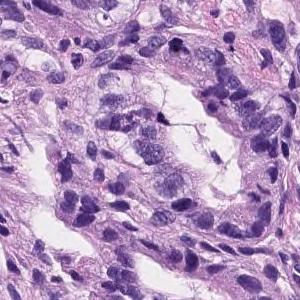
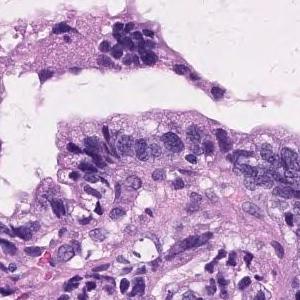
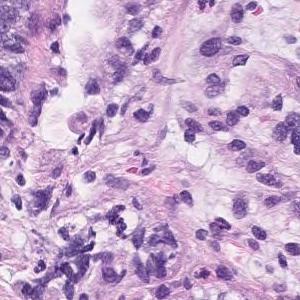
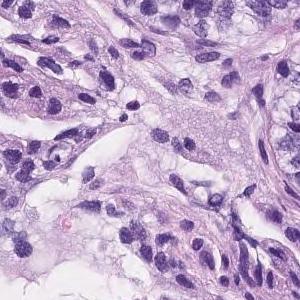
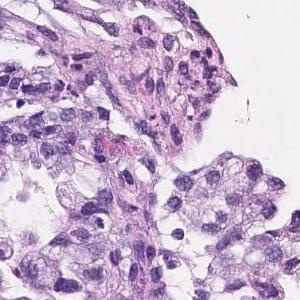
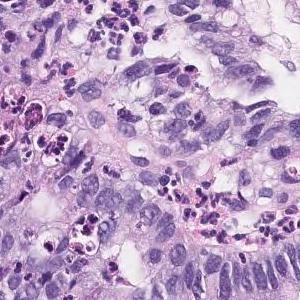
Scanned at ×20 · H&E stain · 6 tiles cut from one stomach biopsy slide.
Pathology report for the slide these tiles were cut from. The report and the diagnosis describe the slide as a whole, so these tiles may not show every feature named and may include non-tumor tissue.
Tumor cells are large, highly columnar, large club-shaped nuclei, and are associated with chromatin aggregation. Papillary adenocarcinoma.
